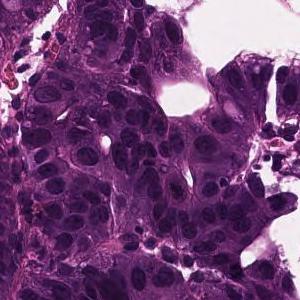
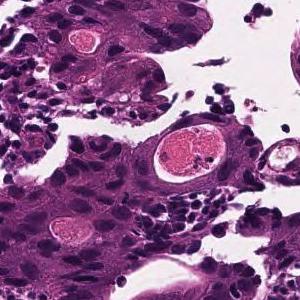
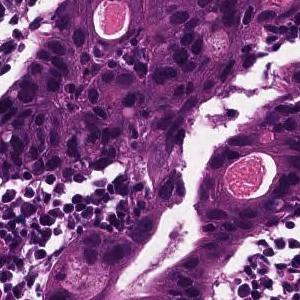
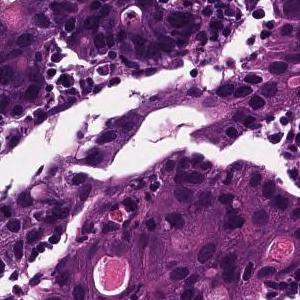
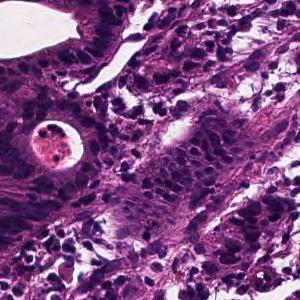
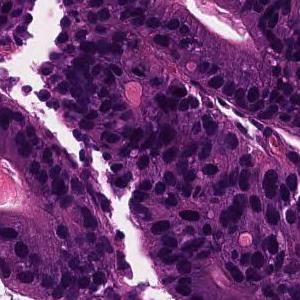
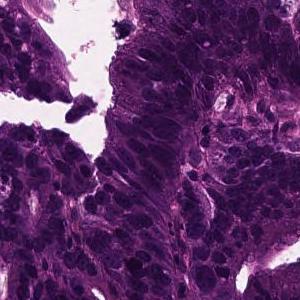
Scanned at ×20; 7 tiles cut from one stomach biopsy slide; 300×300 px each.
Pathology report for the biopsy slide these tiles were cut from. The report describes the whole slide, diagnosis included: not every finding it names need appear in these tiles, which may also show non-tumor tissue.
In the superficial epithelium, tumor tissue that invades by forming medium-sized to small, irregular ducts is observed. moderately differentiated tubular adenocarcinoma.
